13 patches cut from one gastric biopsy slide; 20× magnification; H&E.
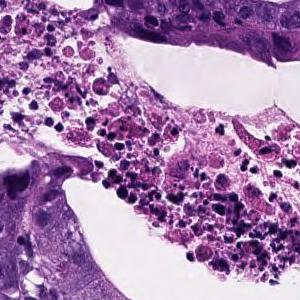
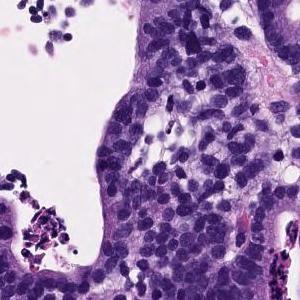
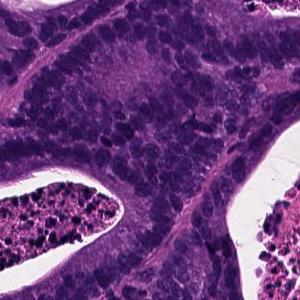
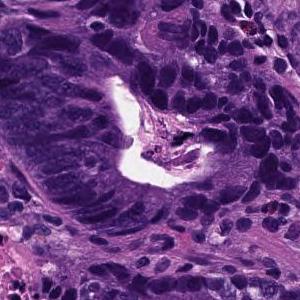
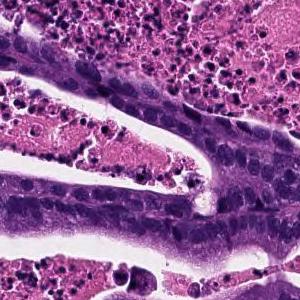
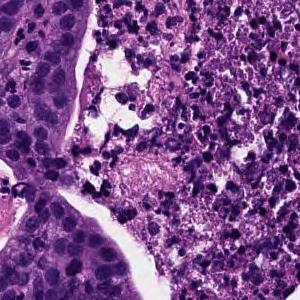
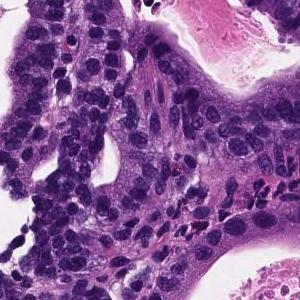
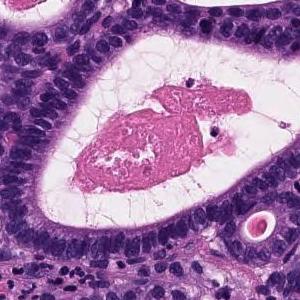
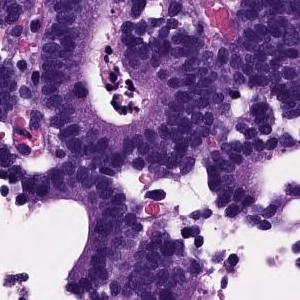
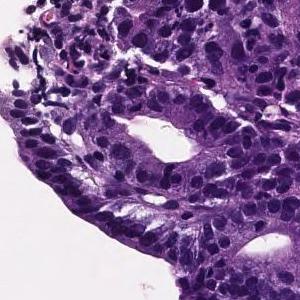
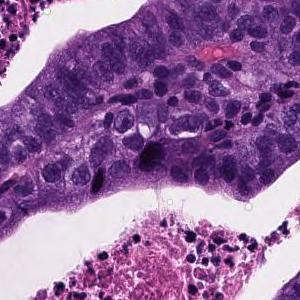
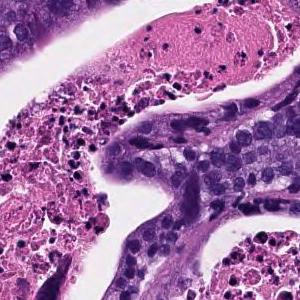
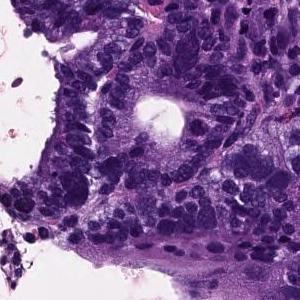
Pathology report for the slide these tiles were cut from. Both the report and the diagnosis are for the whole slide: these tiles need not show every feature named, and some of the tissue shown may not be tumor.
From the superficial epithelium to the muscularis mucosae, tumor tissue consisting of medium-sized and irregular glandular ducts infiltrating is observed. Well differentiated tubular adenocarcinoma
